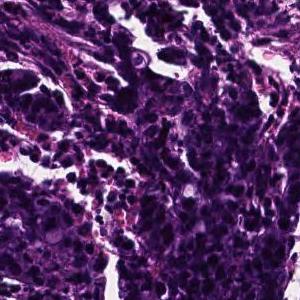
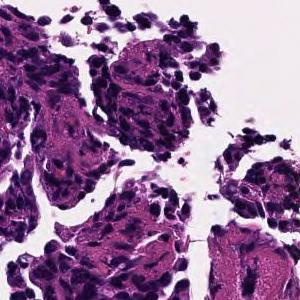
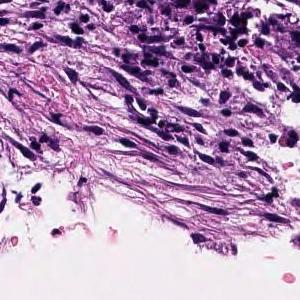
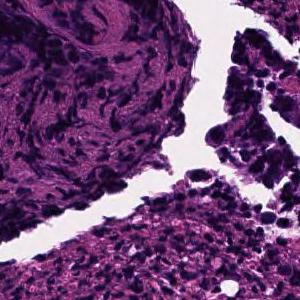
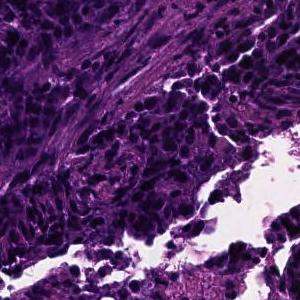
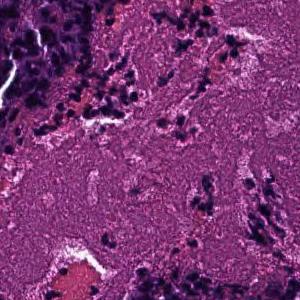
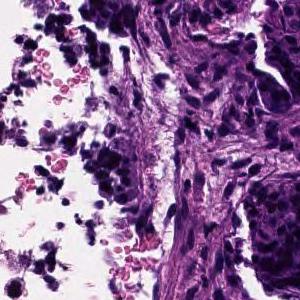
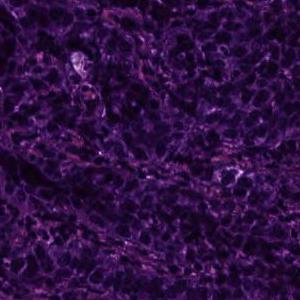
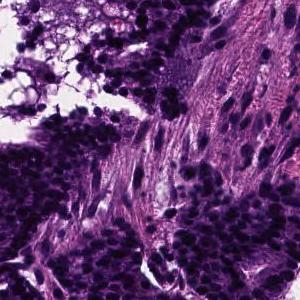
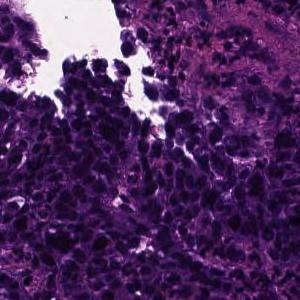
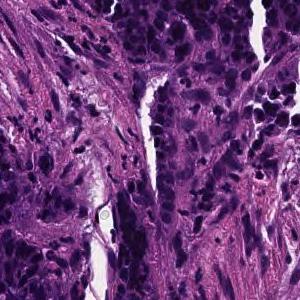
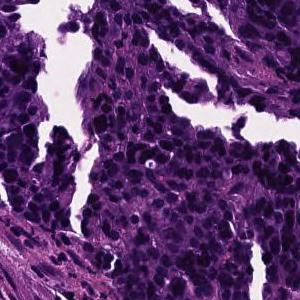
12 patches cut from one gastric biopsy slide · H&E stain.
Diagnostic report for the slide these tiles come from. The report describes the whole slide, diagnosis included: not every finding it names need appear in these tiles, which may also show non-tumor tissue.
In the superficial epithelium, tumor tissue that invades by forming medium-sized to small, irregular ducts is observed. moderately differentiated tubular adenocarcinoma.
